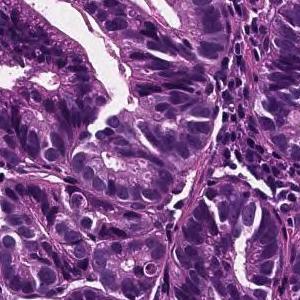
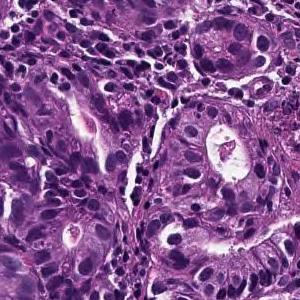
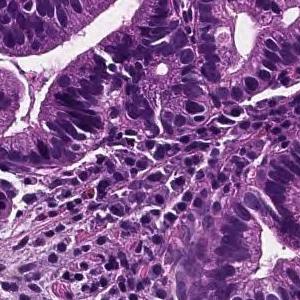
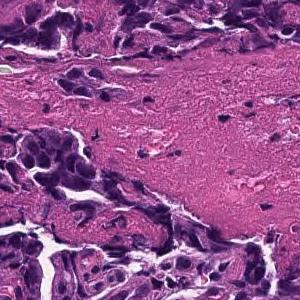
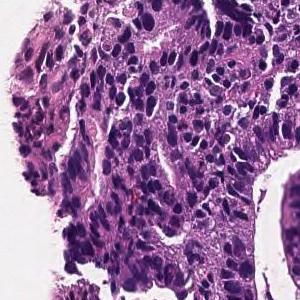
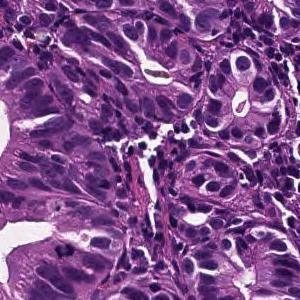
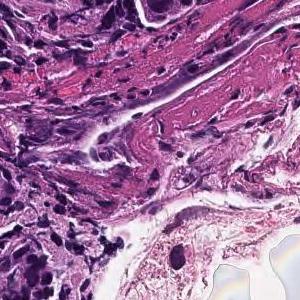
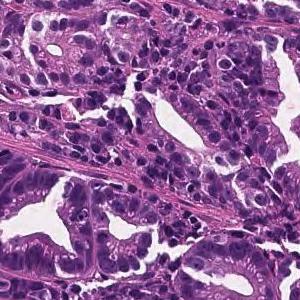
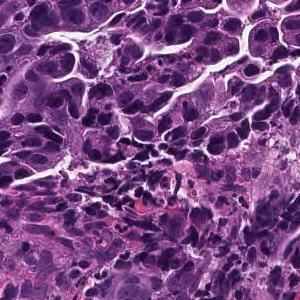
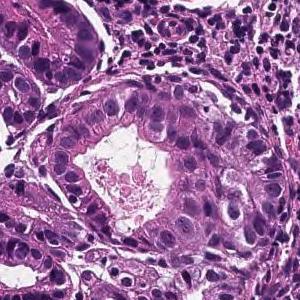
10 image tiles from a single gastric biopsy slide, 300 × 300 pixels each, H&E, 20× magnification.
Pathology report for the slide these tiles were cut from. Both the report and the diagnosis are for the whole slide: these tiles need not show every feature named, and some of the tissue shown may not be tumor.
On the superficial epithelium, tumor tissue consisting of large irregular glandular ducts partially fused and infiltrated is observed. Well to moderately differentiated tubular adenocarcinoma (well differentiated tubular adenocarcinoma, moderately differentiated tubular adenocarcinoma)
Tumor subtype: well to moderately differentiated tubular adenocarcinoma.
